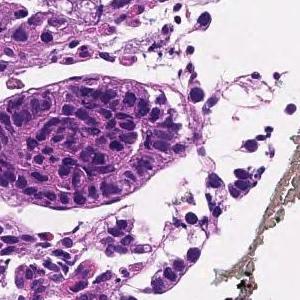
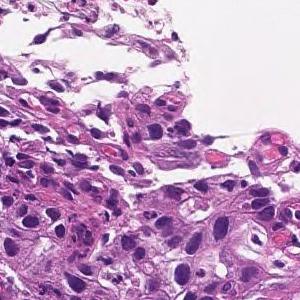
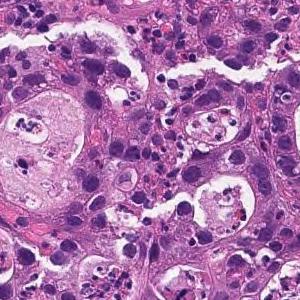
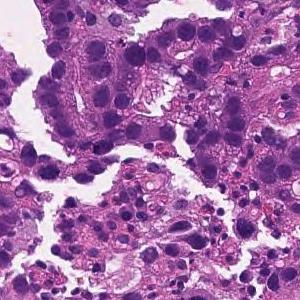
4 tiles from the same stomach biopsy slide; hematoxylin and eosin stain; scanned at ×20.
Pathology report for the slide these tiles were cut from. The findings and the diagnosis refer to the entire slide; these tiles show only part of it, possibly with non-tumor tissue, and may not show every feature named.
Medium to small, irregular glandular ducts are formed in the superficial epithelium, and in some cases, the glandular ducts are fused to show solid alveolar lesions and infiltrating tumor tissue is observed. Moderately to poorly differentiated adenocarcinoma.
